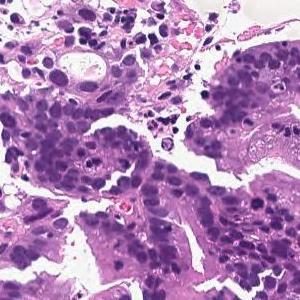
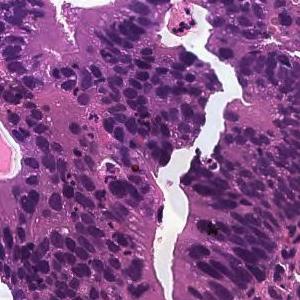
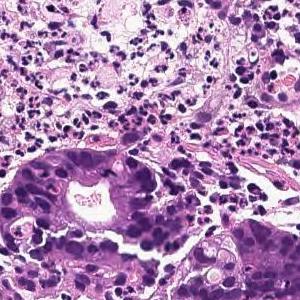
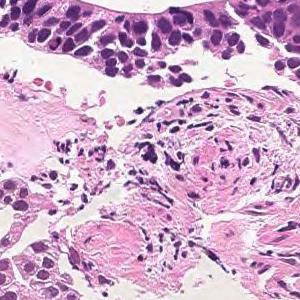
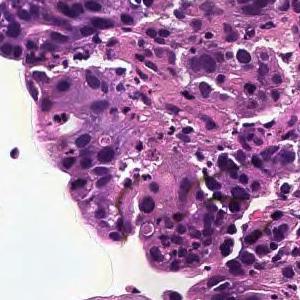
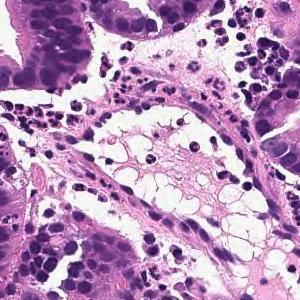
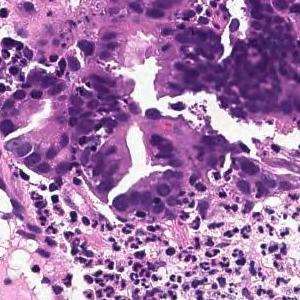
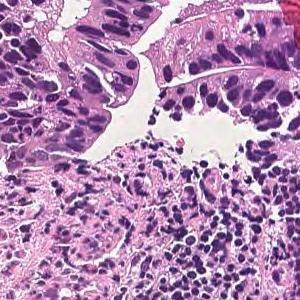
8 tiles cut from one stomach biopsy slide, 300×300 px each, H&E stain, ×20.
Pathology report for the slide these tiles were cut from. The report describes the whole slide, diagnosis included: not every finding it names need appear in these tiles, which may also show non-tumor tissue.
On the superficial epithelium, tumor tissue consisting of large irregular glandular ducts partially fused and infiltrated is observed. Well to moderately differentiated tubular adenocarcinoma (well differentiated tubular adenocarcinoma, moderately differentiated tubular adenocarcinoma)
Histologic type: Well to moderately differentiated tubular adenocarcinoma.
